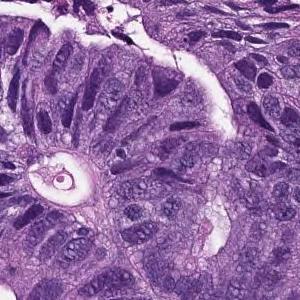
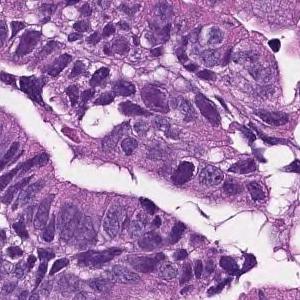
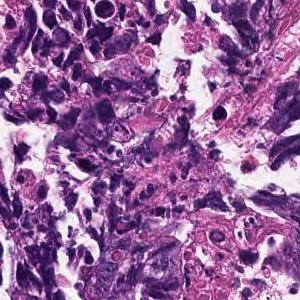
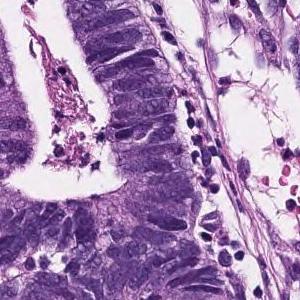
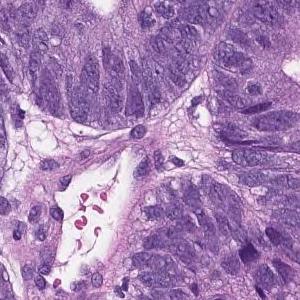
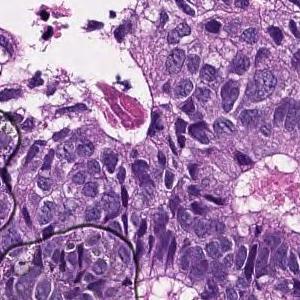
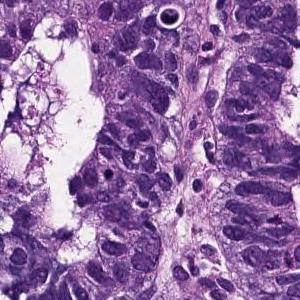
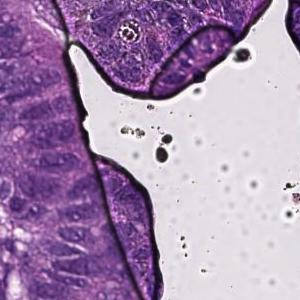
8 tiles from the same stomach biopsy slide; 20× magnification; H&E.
Report on the slide these tiles come from. What the report and the diagnosis say applies to the whole slide; these tiles may miss some of the features named and may include tissue that is not tumor.
In the superficial epithelium, tumor tissue that invades by forming medium-sized to small, irregular ducts is observed. moderately differentiated tubular adenocarcinoma.
